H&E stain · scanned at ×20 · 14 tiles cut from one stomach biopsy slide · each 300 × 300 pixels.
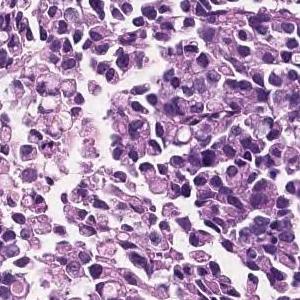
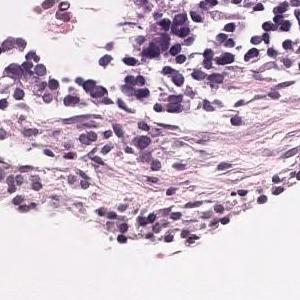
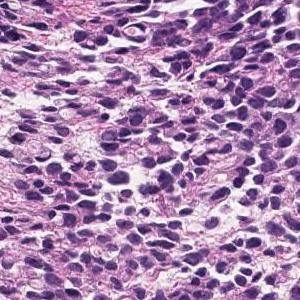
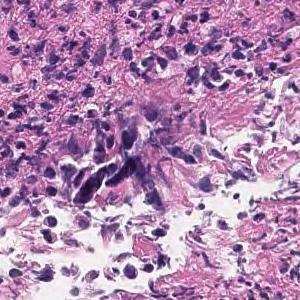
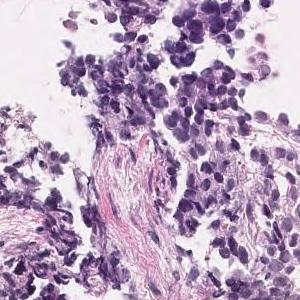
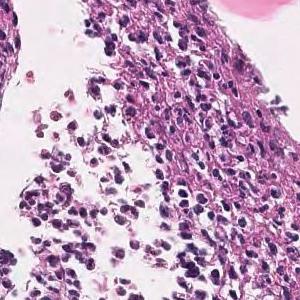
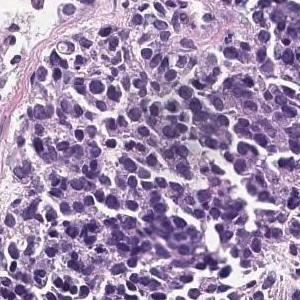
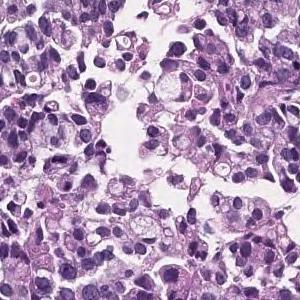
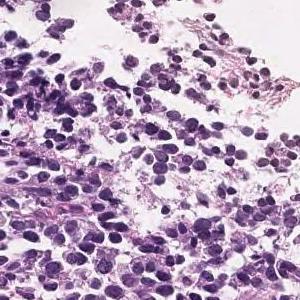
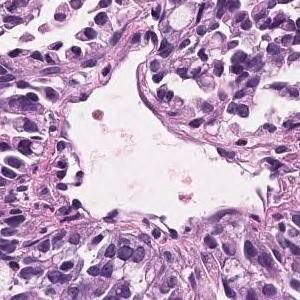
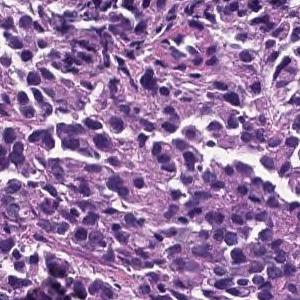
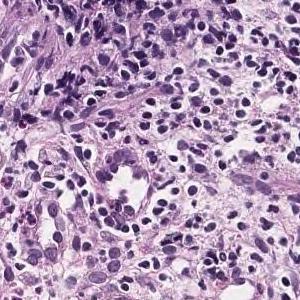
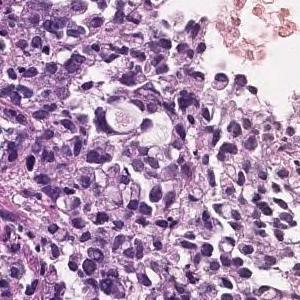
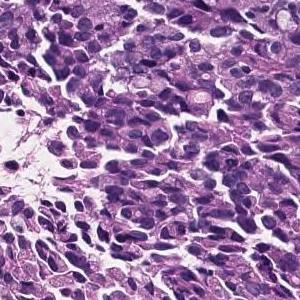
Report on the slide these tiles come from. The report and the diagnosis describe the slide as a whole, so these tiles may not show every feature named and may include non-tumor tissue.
The superficial epithelium shows a large sheet-like shape, and some tumor tissue infiltrates with small irregular ducts. Poorly differentiated adenocarcinoma, solid-type
Subtype: Poorly differentiated adenocarcinoma, solid type (Japanese Classification of Gastric Carcinoma). The WHO 2019 equivalent is tubular adenocarcinoma, poorly differentiated.
